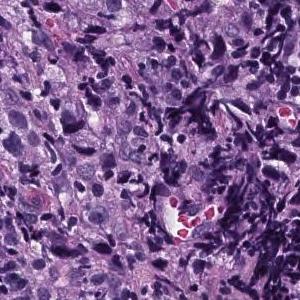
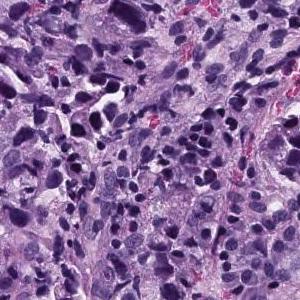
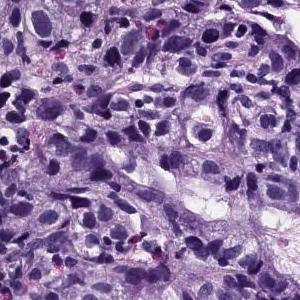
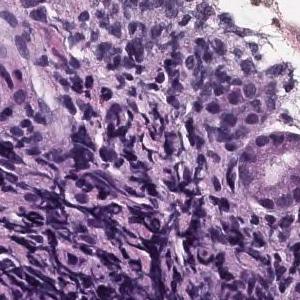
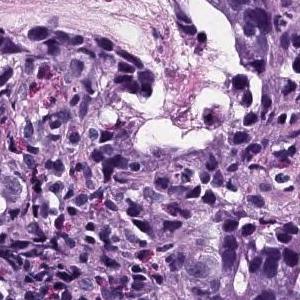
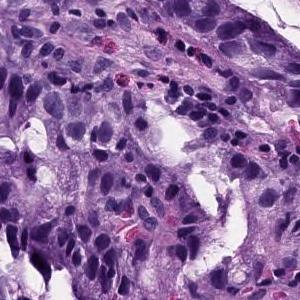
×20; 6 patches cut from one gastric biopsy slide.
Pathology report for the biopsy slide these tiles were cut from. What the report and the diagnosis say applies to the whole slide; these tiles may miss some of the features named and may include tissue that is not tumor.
Atypical epithelial cells infiltrating and proliferating while forming solid or cord-like fused glandular cavities of different sizes is observed. moderately differentiated tubular adenocarcinoma, poorly differentiated adenocarcinoma.
Tumor subtype: moderately to poorly differentiated adenocarcinoma.
